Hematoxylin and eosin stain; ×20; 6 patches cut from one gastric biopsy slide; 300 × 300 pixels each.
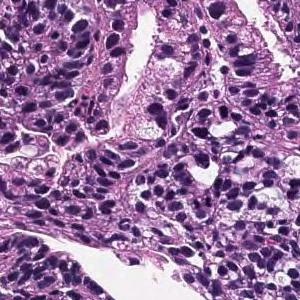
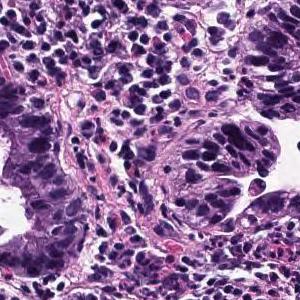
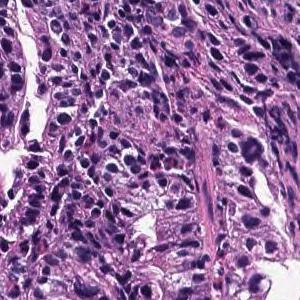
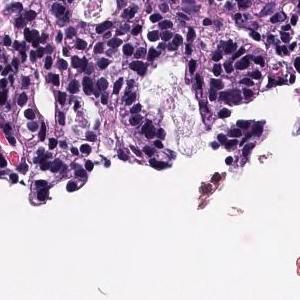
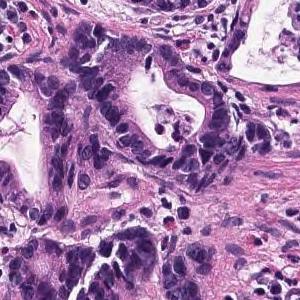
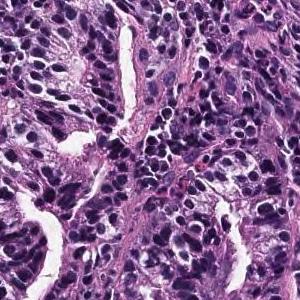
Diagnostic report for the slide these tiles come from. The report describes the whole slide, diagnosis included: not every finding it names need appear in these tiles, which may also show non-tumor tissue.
Neoplastic cells with atypical nuclei of different sizes exhibit tubular glands and infiltrate and proliferate. Moderately differentiated tubular adenocarcinoma.
